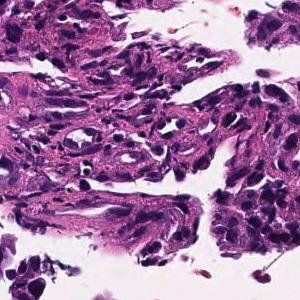
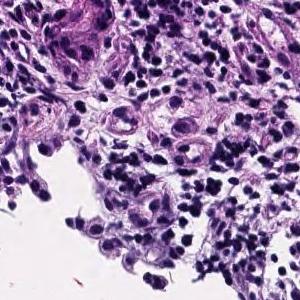
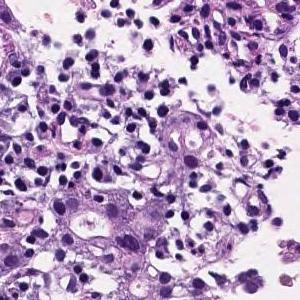
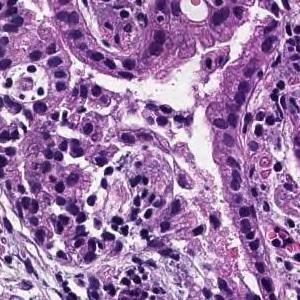
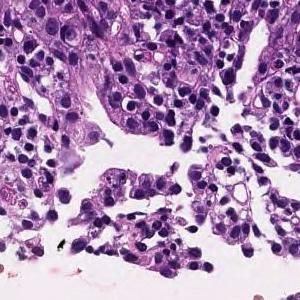
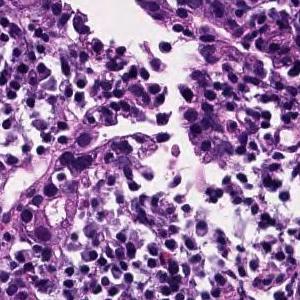
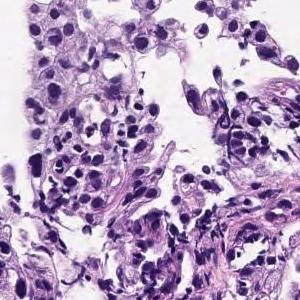
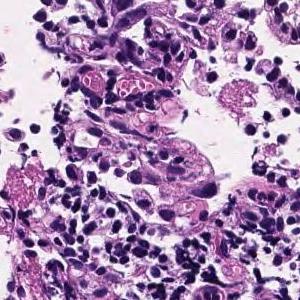
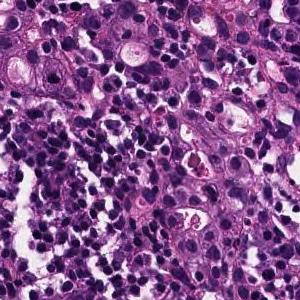
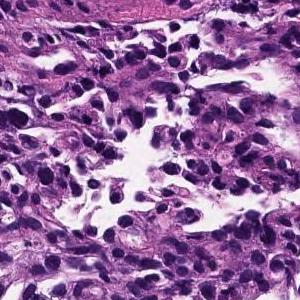
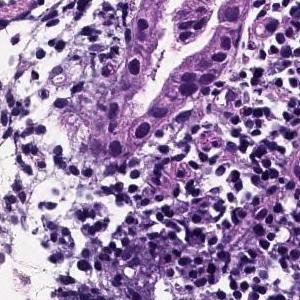
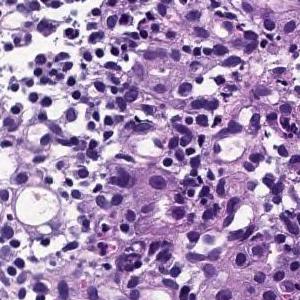
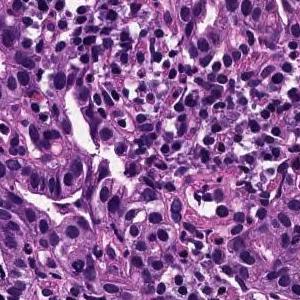
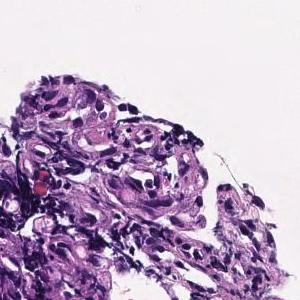
Scanned at ×20; hematoxylin and eosin stain; 14 tiles from the same stomach biopsy slide.
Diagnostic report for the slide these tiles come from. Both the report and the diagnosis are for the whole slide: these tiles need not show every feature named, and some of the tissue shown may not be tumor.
Medium to small, irregular glandular ducts are formed in the superficial epithelium, and in some cases, the glandular ducts are fused to show solid alveolar lesions and infiltrating tumor tissue is observed. Moderately to poorly differentiated adenocarcinoma.
